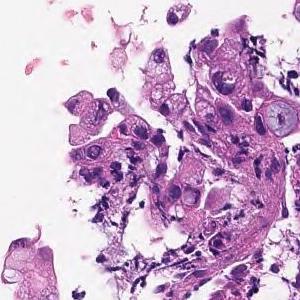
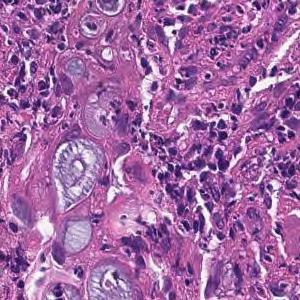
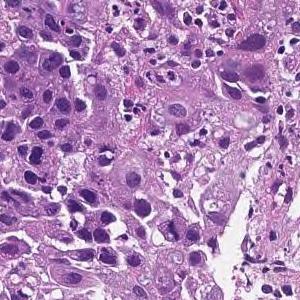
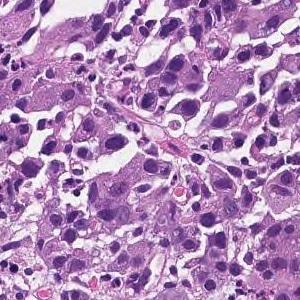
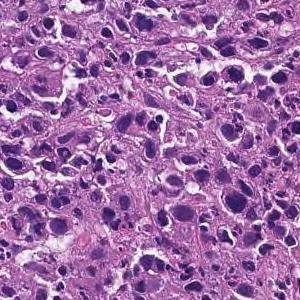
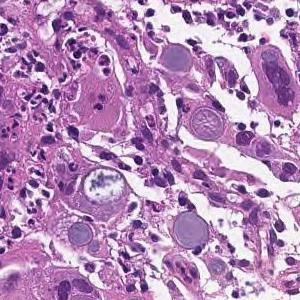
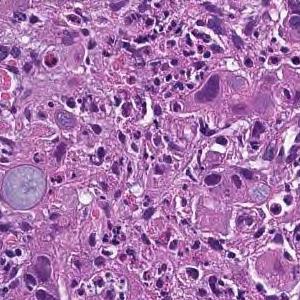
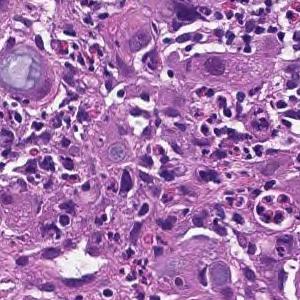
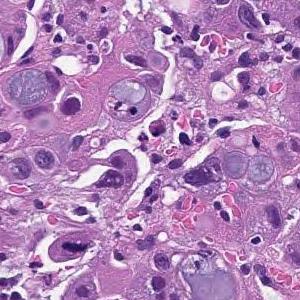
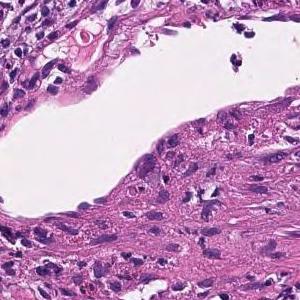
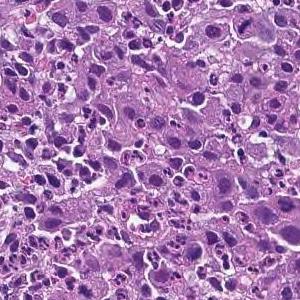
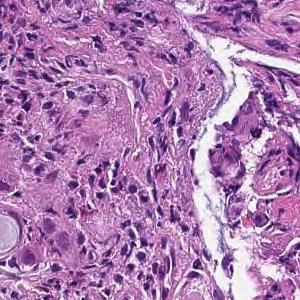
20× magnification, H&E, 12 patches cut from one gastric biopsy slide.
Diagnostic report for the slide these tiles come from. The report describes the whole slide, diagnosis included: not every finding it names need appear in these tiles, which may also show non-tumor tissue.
The superficial epithelium shows a large sheet-like shape, and some tumor tissue infiltrates with small irregular ducts. Poorly differentiated adenocarcinoma, solid-type
Tumor subtype: poorly differentiated adenocarcinoma, solid type (Japanese Classification of Gastric Carcinoma). The WHO 2019 equivalent is tubular adenocarcinoma, poorly differentiated.
